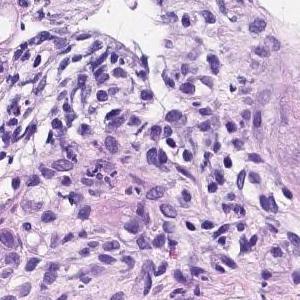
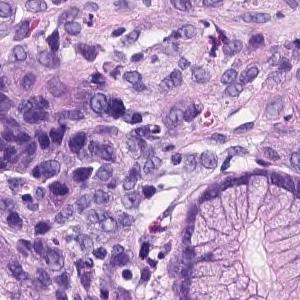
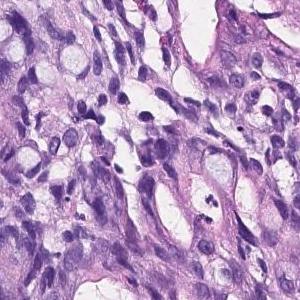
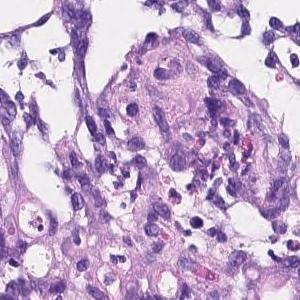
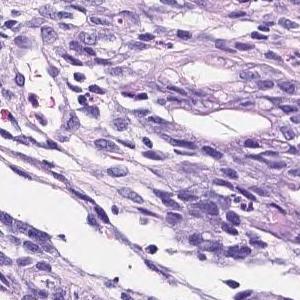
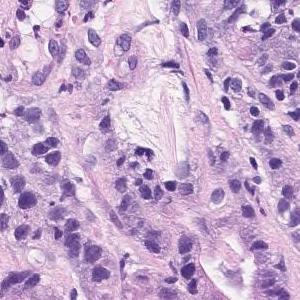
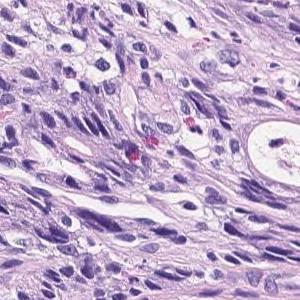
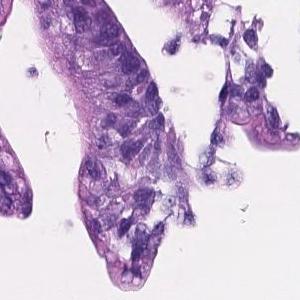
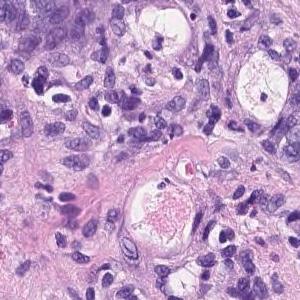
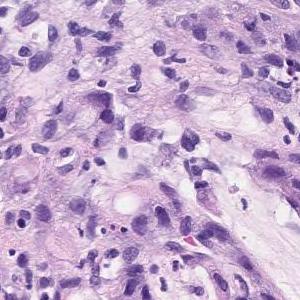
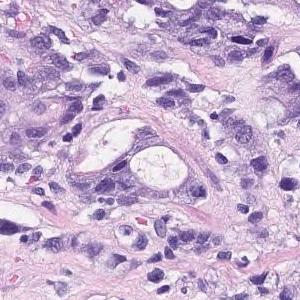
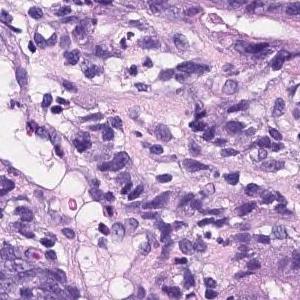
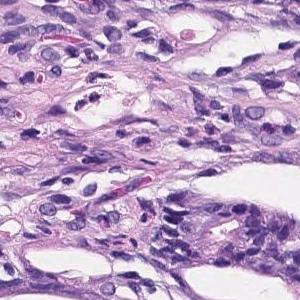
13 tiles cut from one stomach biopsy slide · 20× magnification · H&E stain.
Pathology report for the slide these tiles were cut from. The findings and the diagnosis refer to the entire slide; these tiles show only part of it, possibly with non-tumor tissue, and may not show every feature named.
Irregularly fused atypical ducts proliferating while replacing existing ducts was observed. moderately differentiated tubular adenocarcinoma
